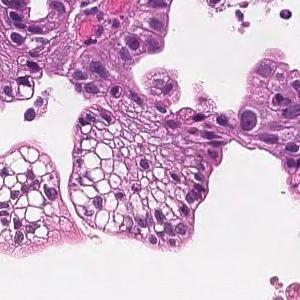
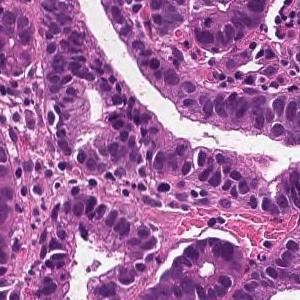
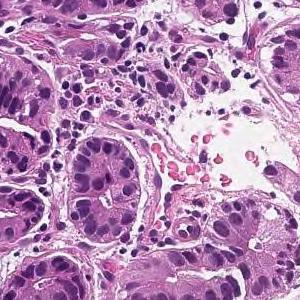
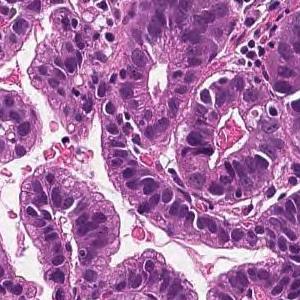
4 patches cut from one gastric biopsy slide; 300×300 px each; H&E stain; ×20.
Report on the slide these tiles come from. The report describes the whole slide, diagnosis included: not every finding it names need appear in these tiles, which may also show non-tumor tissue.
On the superficial epithelium, tumor tissue consisting of large irregular glandular ducts partially fused and infiltrated is observed. Well to moderately differentiated tubular adenocarcinoma (well differentiated tubular adenocarcinoma, moderately differentiated tubular adenocarcinoma)
Histological subtype: Well to moderately differentiated tubular adenocarcinoma.
